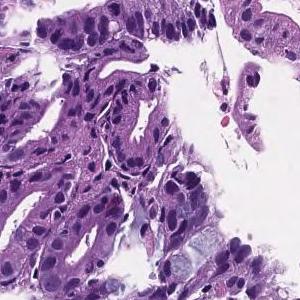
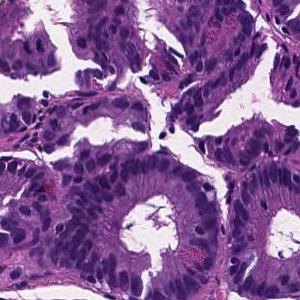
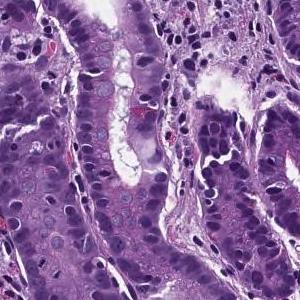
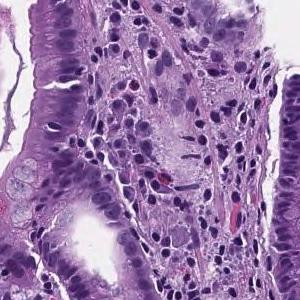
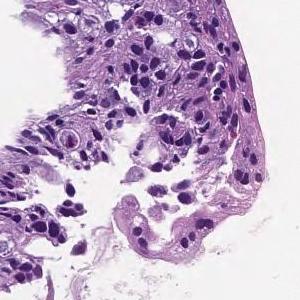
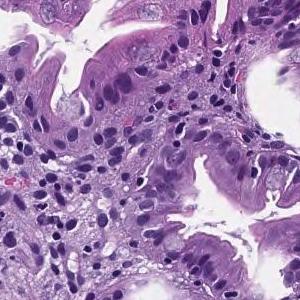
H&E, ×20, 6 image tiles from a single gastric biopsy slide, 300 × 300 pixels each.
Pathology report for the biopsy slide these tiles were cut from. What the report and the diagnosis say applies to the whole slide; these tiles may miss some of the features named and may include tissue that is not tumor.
In the superficial epithelium, tumor tissue that invades by forming medium-sized to small, irregular ducts is observed. moderately differentiated tubular adenocarcinoma.
